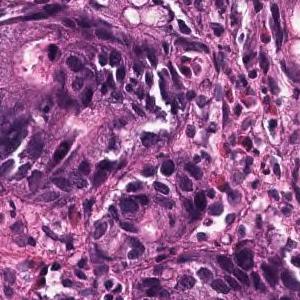
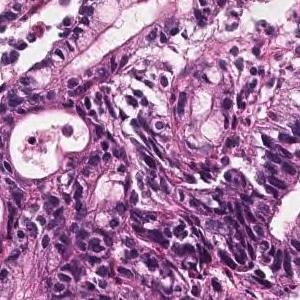
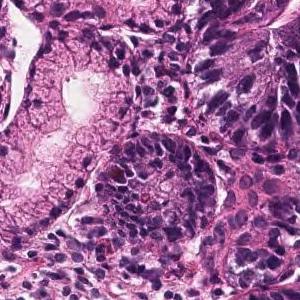
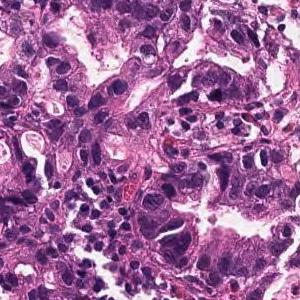
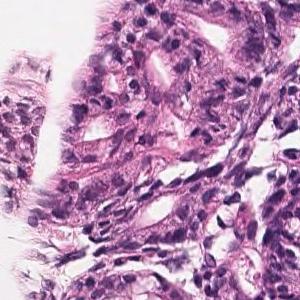
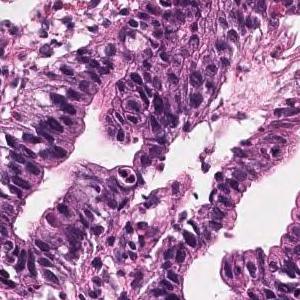
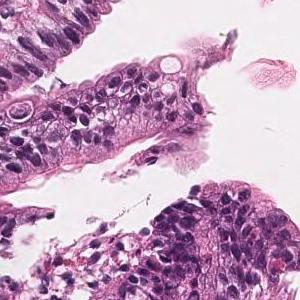
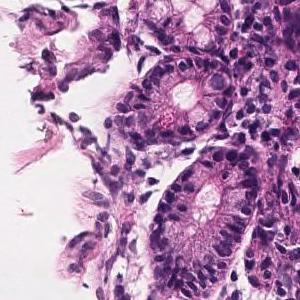
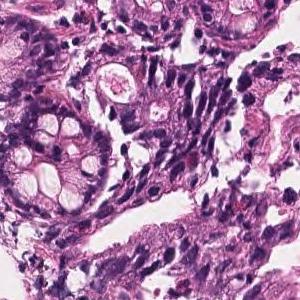
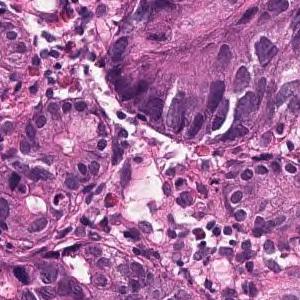
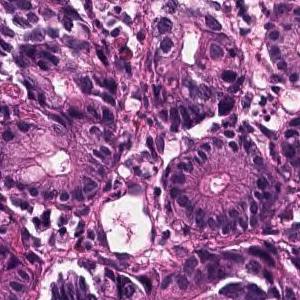
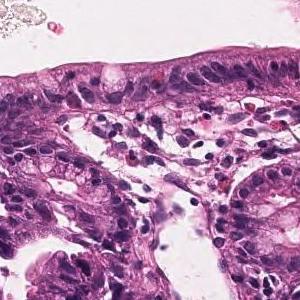
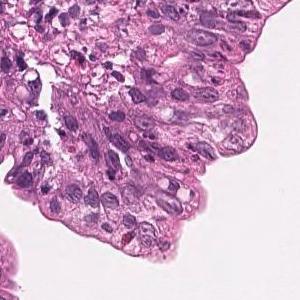
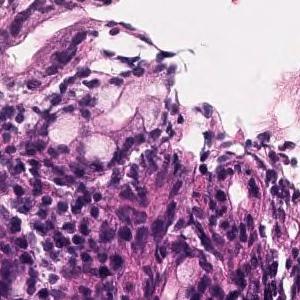
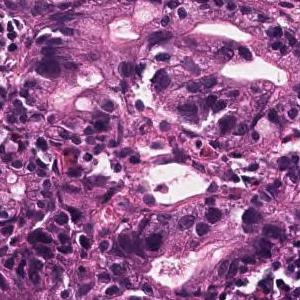
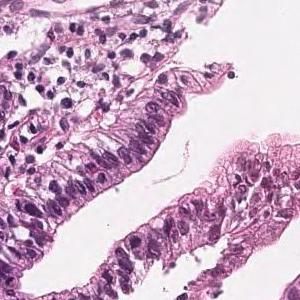
16 tiles from the same stomach biopsy slide; ×20; H&E stain.
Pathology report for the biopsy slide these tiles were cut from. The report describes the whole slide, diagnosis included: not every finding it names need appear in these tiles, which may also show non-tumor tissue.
On the superficial epithelium, tumor tissue consisting of large, irregular glandular ducts partially fused and infiltrated is observed. Well to moderately differentiated tubular adenocarcinoma (well differentiated tubular adenocarcinoma, moderately differentiated tubular adenocarcinoma)
Tumor subtype: well to moderately differentiated tubular adenocarcinoma.
